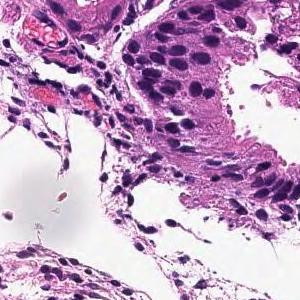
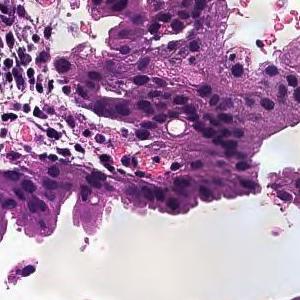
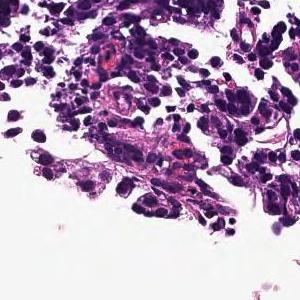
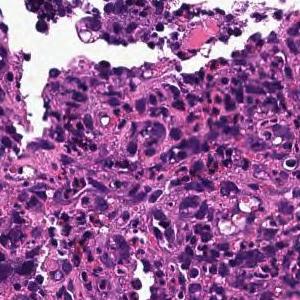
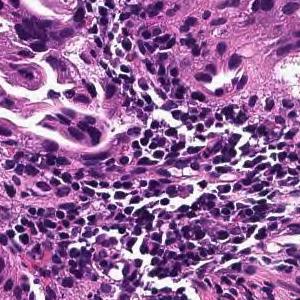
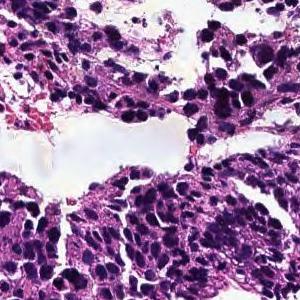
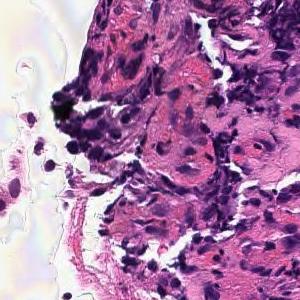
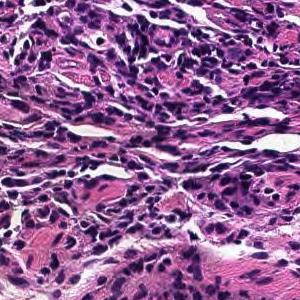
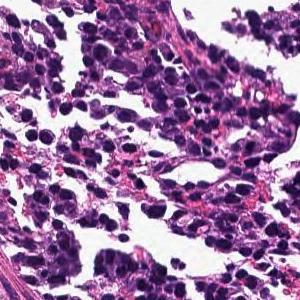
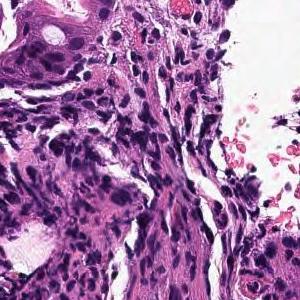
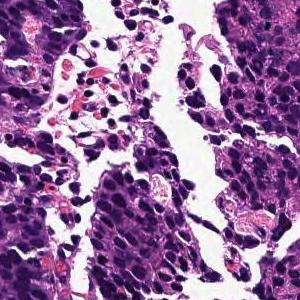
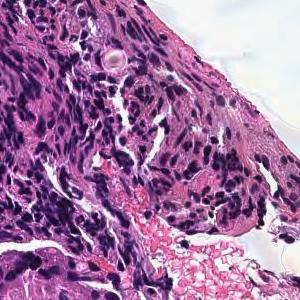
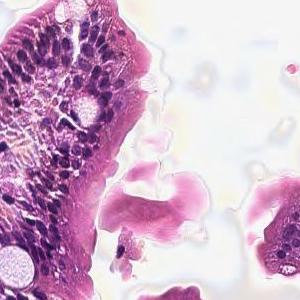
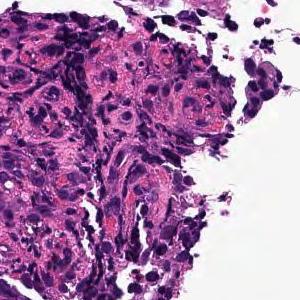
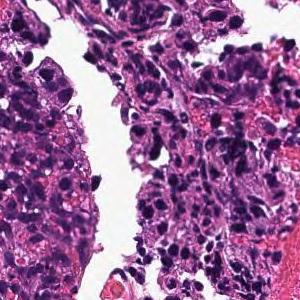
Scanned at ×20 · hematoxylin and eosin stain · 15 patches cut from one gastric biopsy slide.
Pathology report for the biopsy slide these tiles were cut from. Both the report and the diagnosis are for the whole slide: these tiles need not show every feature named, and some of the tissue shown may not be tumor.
In the superficial epithelium, tumor tissue that invades by forming medium-sized to small, irregular ducts is observed. moderately differentiated tubular adenocarcinoma.
